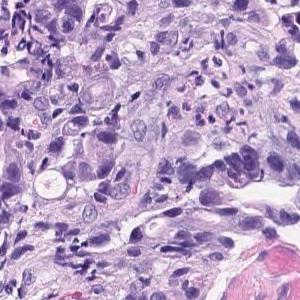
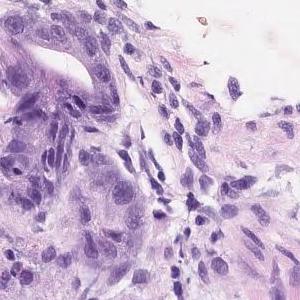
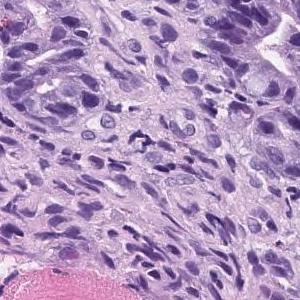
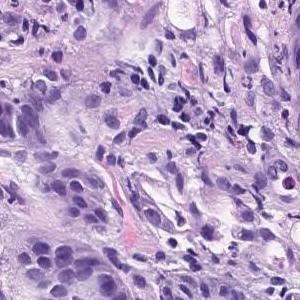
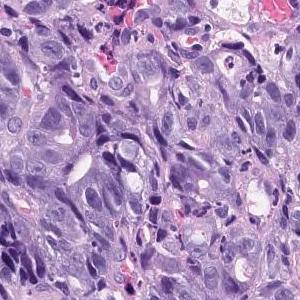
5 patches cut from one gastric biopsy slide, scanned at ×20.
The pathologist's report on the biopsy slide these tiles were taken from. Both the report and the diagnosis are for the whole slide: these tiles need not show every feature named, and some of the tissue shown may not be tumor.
In the superficial epithelium, tumor tissue that invades by forming medium-sized to small, irregular ducts is observed. Moderately differentiated adenocarcinoma.
Subtype: Moderately differentiated tubular adenocarcinoma.
